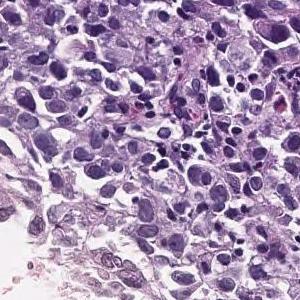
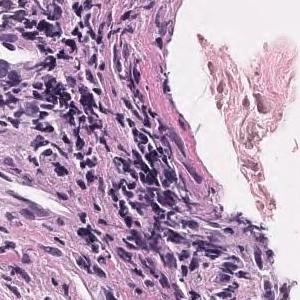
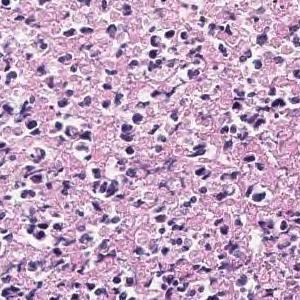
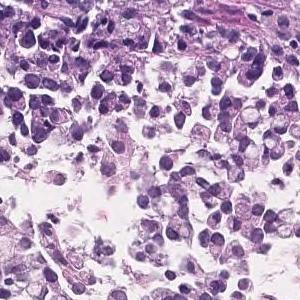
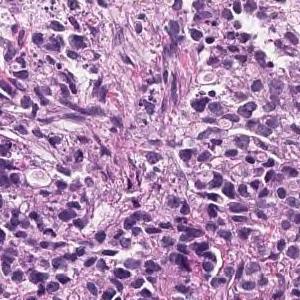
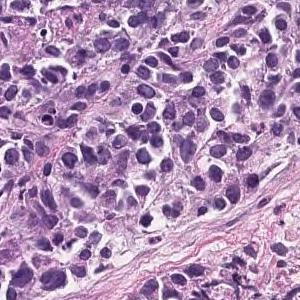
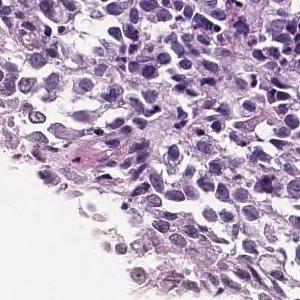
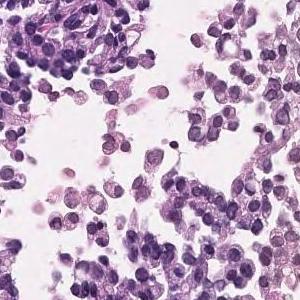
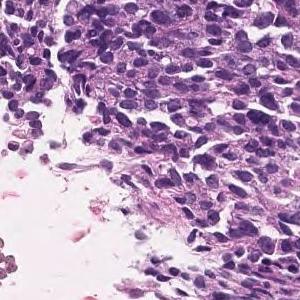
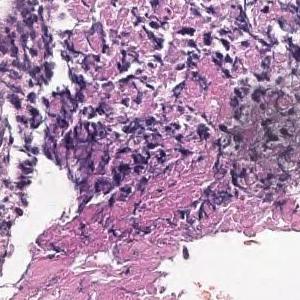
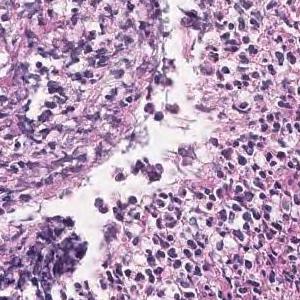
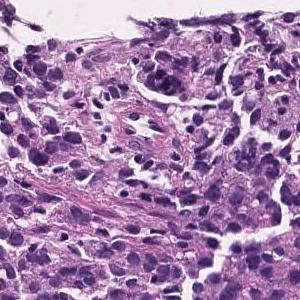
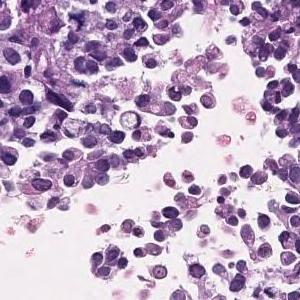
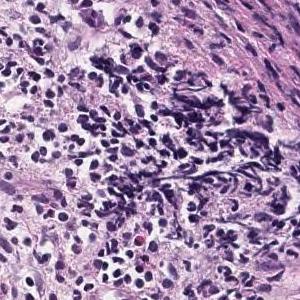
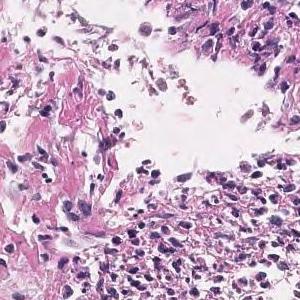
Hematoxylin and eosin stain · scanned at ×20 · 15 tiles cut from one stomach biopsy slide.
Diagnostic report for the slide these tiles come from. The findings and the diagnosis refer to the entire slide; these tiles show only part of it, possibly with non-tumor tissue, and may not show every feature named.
The superficial epithelium shows a large sheet-like shape, and some tumor tissue infiltrates with small irregular ducts. Poorly differentiated adenocarcinoma, solid-type
Histologic type: Poorly differentiated adenocarcinoma, solid type. This name comes from the Japanese Classification of Gastric Carcinoma; the WHO 2019 classification calls it tubular adenocarcinoma, poorly differentiated.
